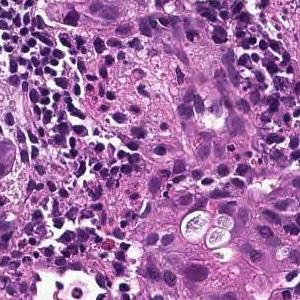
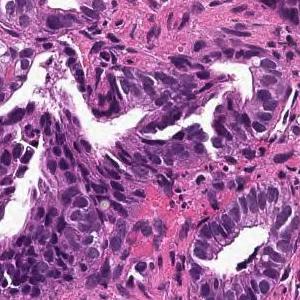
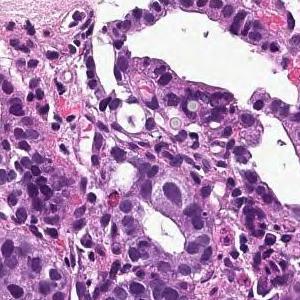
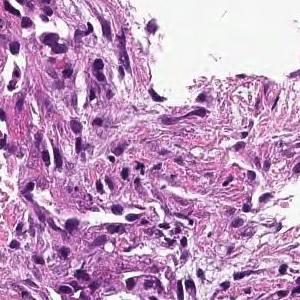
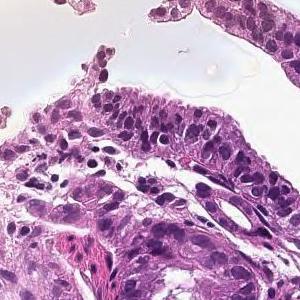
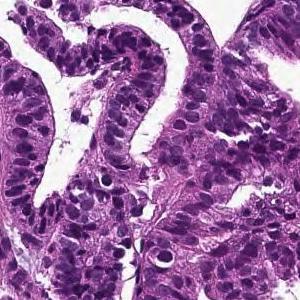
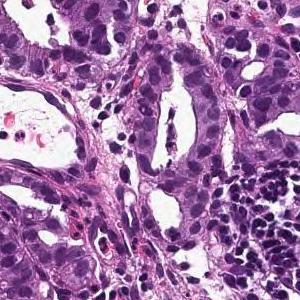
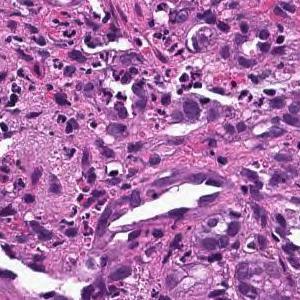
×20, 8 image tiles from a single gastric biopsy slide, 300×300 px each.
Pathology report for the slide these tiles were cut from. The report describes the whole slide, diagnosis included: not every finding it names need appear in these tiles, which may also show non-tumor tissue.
Tumor cells are large, highly columnar, large club-shaped nuclei, and are associated with chromatin aggregation. Papillary adenocarcinoma.
